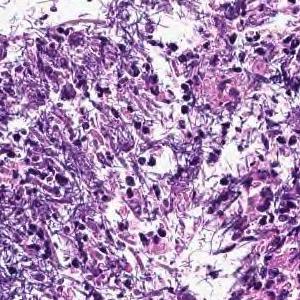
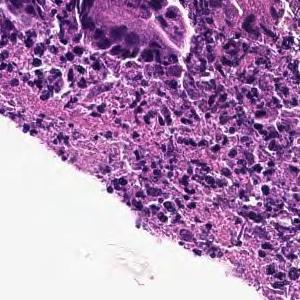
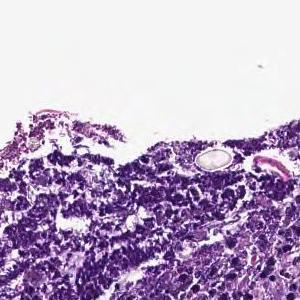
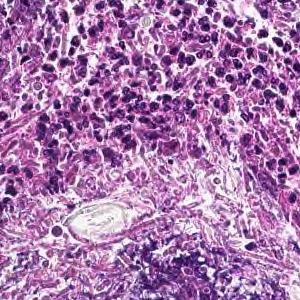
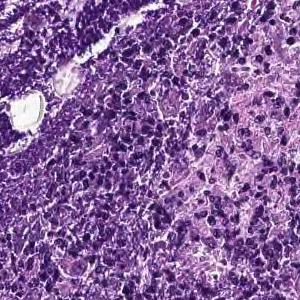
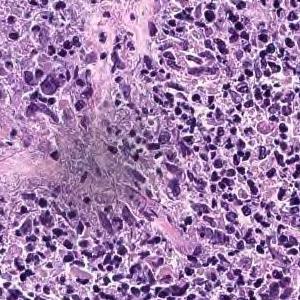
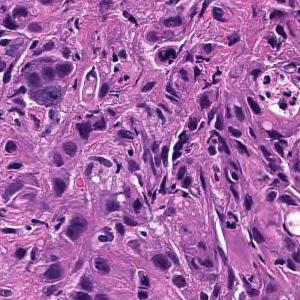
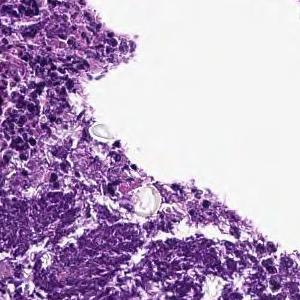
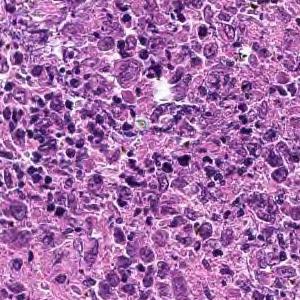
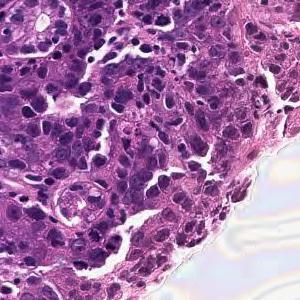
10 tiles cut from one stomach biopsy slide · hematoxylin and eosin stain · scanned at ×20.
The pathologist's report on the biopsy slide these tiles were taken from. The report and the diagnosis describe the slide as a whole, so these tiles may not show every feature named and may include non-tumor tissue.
Cancers with polygonal nuclei do not show glandular formation and are densely, in part, cord-like and proliferate. Poorly differentiated adenocarcinoma
Classified as poorly differentiated adenocarcinoma, non-solid type.
"Non-solid type" is a category of the Japanese Classification of Gastric Carcinoma.
